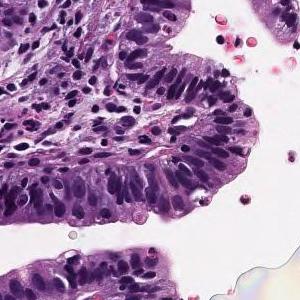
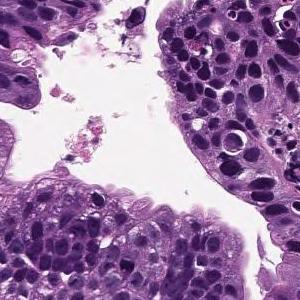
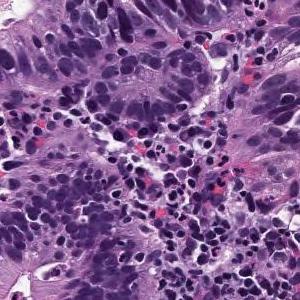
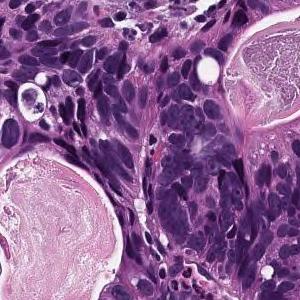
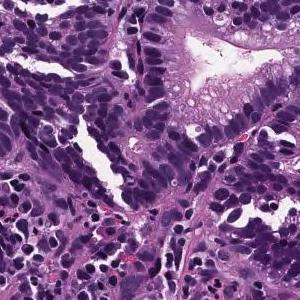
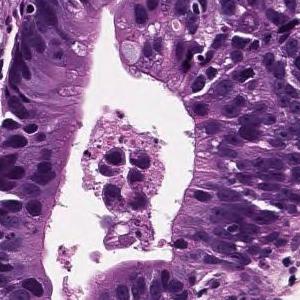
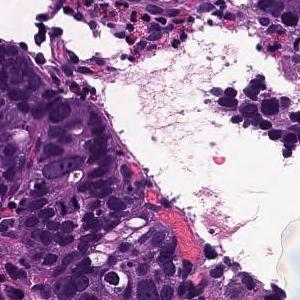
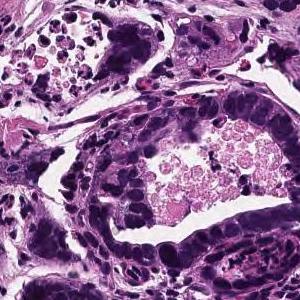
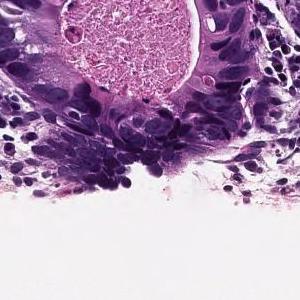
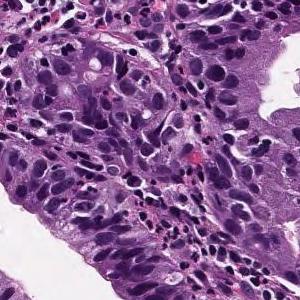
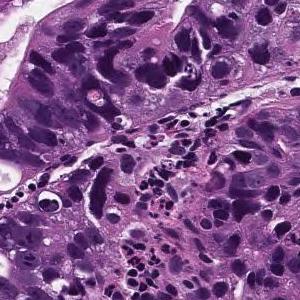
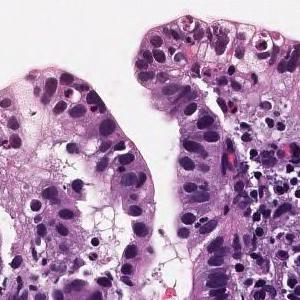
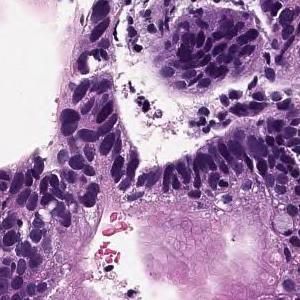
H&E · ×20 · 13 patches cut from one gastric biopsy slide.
Diagnostic report for the slide these tiles come from. What the report and the diagnosis say applies to the whole slide; these tiles may miss some of the features named and may include tissue that is not tumor.
From the superficial epithelium to the muscularis mucosae, tumor tissue consisting of medium-sized and irregular glandular ducts infiltrating is observed. Well differentiated tubular adenocarcinoma
